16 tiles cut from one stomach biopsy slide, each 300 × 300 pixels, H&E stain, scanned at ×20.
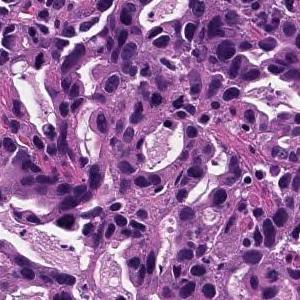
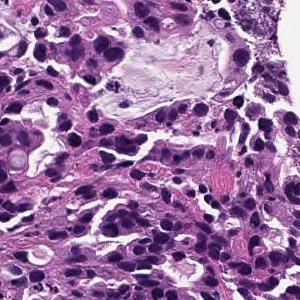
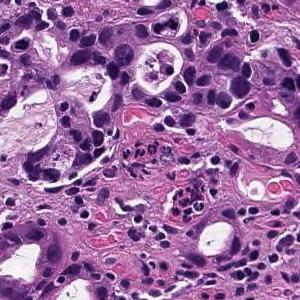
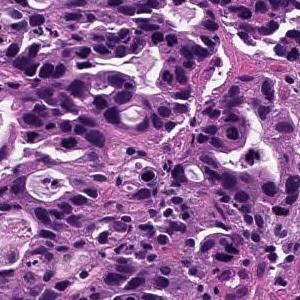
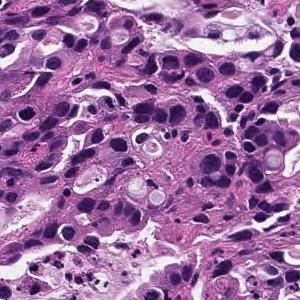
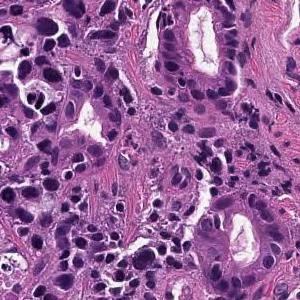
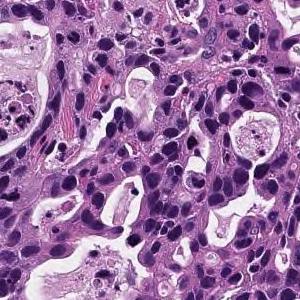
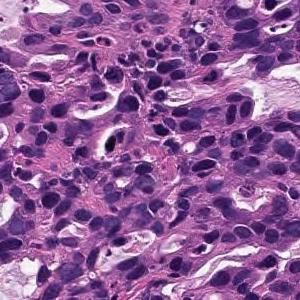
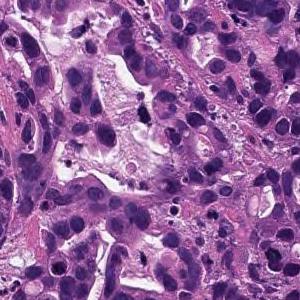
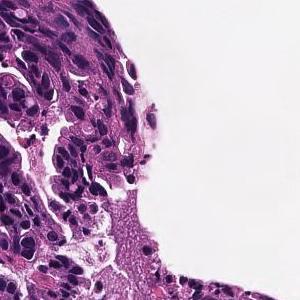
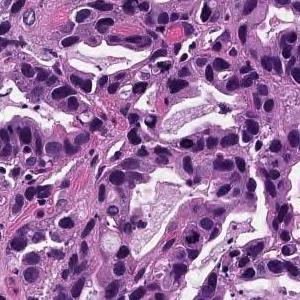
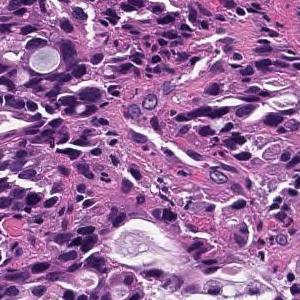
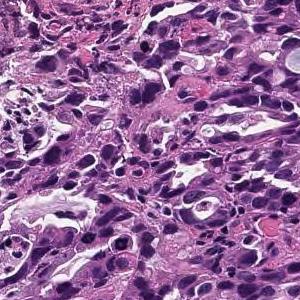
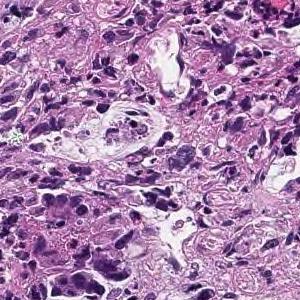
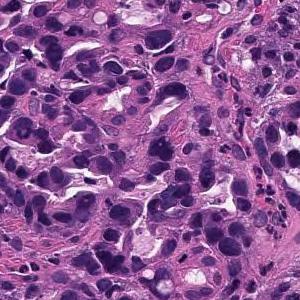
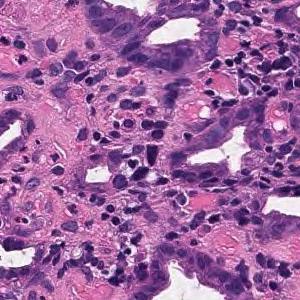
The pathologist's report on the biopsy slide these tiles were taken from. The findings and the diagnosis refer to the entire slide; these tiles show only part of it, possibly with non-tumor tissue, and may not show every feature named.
In the superficial epithelium, tumor tissue that invades by forming medium-sized to small, irregular ducts is observed. moderately differentiated tubular adenocarcinoma.
